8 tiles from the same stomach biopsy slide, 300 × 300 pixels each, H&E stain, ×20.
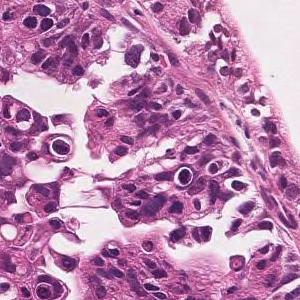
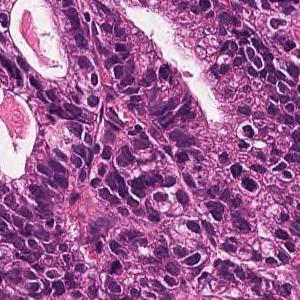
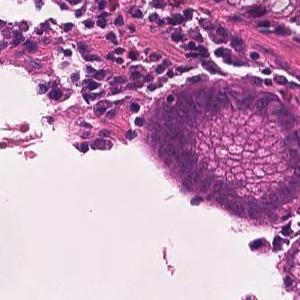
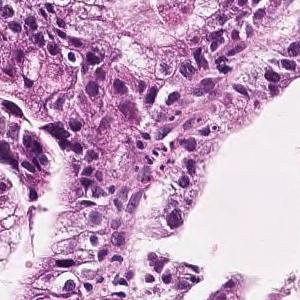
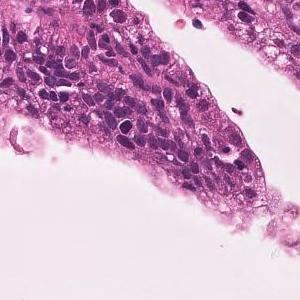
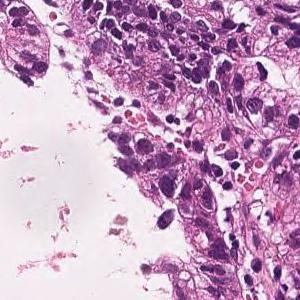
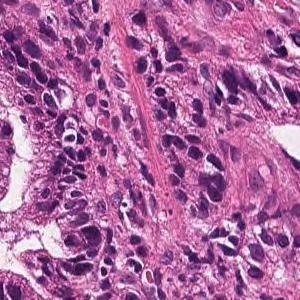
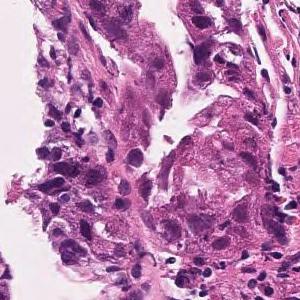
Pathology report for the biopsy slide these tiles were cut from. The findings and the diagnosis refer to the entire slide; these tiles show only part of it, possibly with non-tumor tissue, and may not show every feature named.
On the superficial epithelium, tumor tissue consisting of large, irregular glandular ducts partially fused and infiltrated is observed. Well to moderately differentiated tubular adenocarcinoma (well differentiated tubular adenocarcinoma, moderately differentiated tubular adenocarcinoma)
Subtype: Well to moderately differentiated tubular adenocarcinoma.
